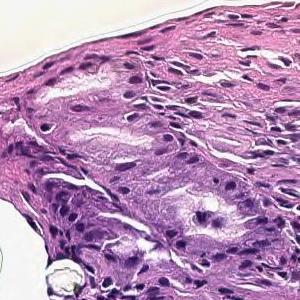
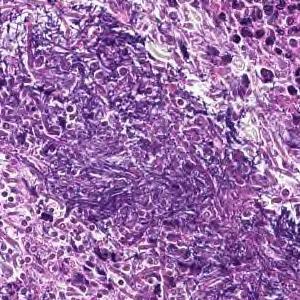
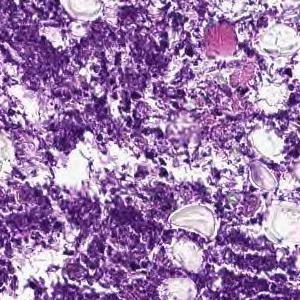
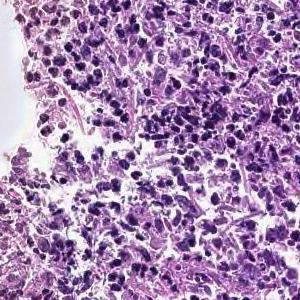
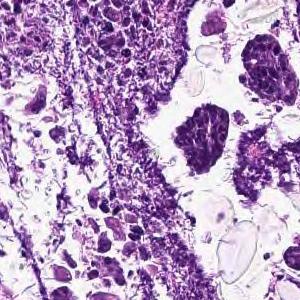
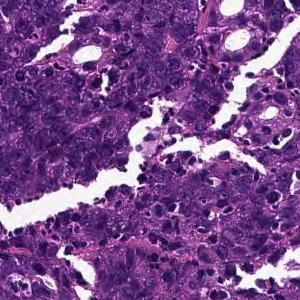
H&E stain · scanned at ×20 · 6 patches cut from one gastric biopsy slide · 300 × 300 pixels each.
The pathologist's report on the biopsy slide these tiles were taken from. The report and the diagnosis describe the slide as a whole, so these tiles may not show every feature named and may include non-tumor tissue.
Cancers with polygonal nuclei do not show glandular formation and are densely, in part, cord-like and proliferate. Poorly differentiated adenocarcinoma
Subtype: Poorly differentiated adenocarcinoma, non-solid type.
"Non-solid type" is a category of the Japanese Classification of Gastric Carcinoma.
